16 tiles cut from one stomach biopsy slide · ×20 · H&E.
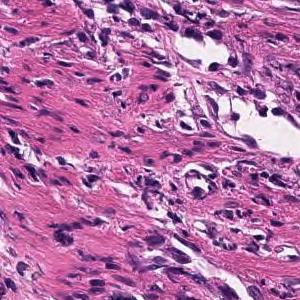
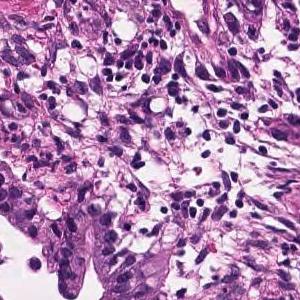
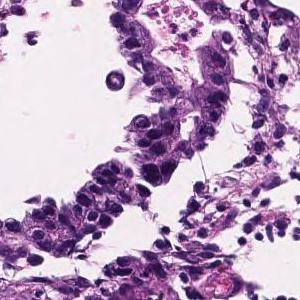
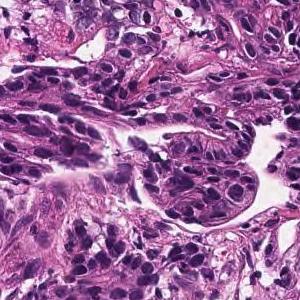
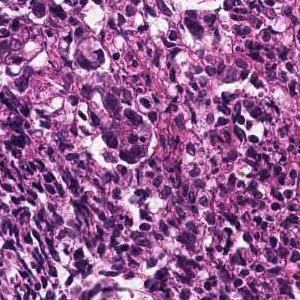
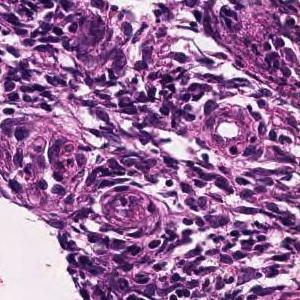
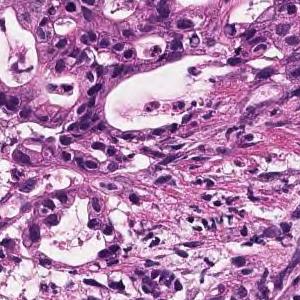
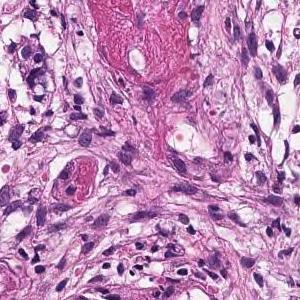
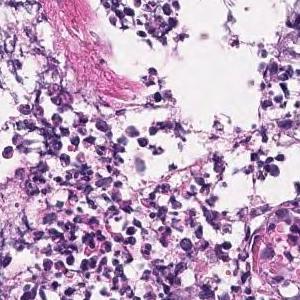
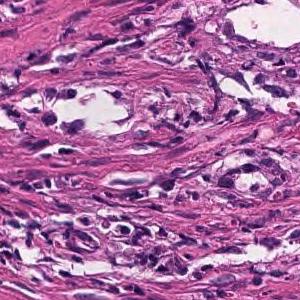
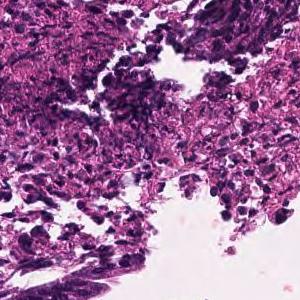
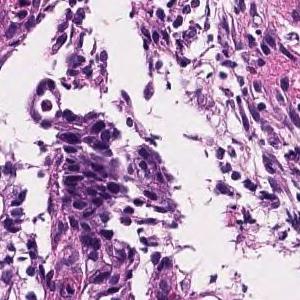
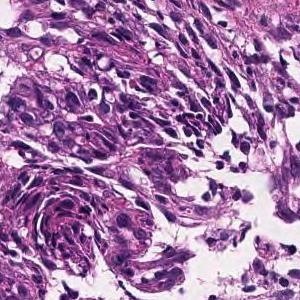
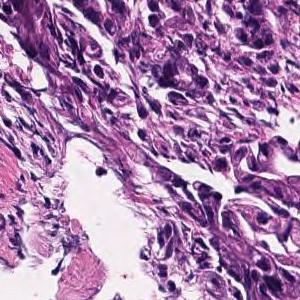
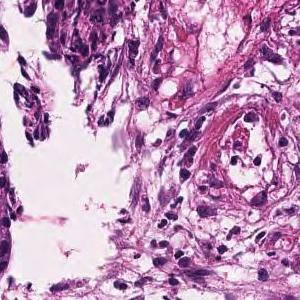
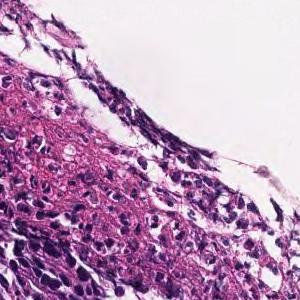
The pathologist's report on the biopsy slide these tiles were taken from. The report and the diagnosis cover the entire slide, so not every feature they name need be visible here, and some tissue shown may not be tumor.
In the superficial epithelium, medium to small, irregular gland ducts are formed, and in some cases, the gland ducts are fused to show solid alveolar lesions and infiltrating tumor tissue is observed. Moderately to poorly differentiated adenocarcinoma.
